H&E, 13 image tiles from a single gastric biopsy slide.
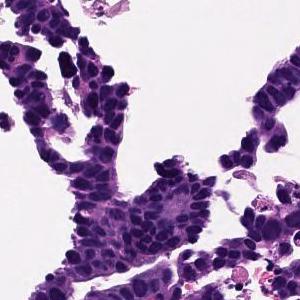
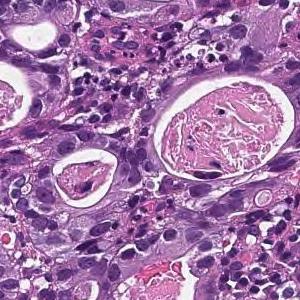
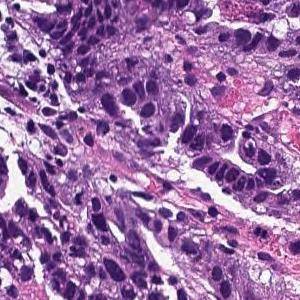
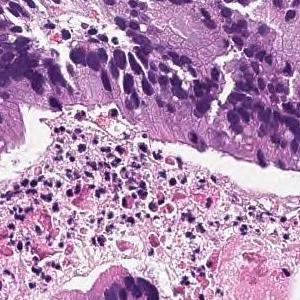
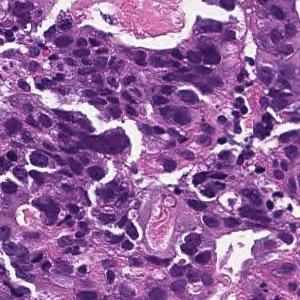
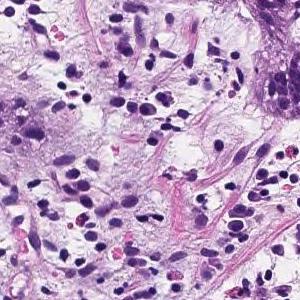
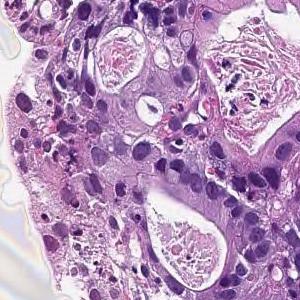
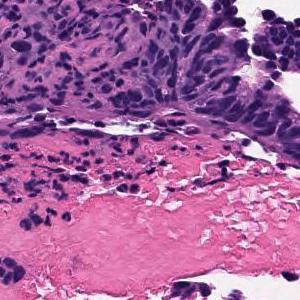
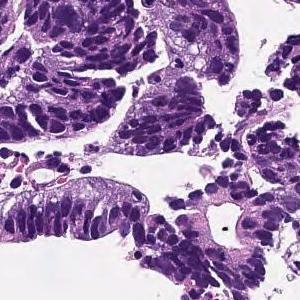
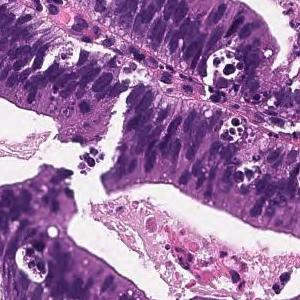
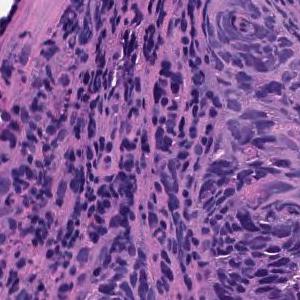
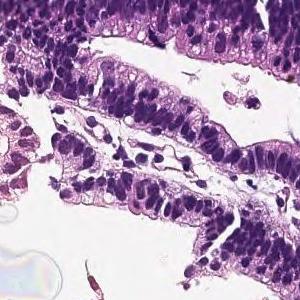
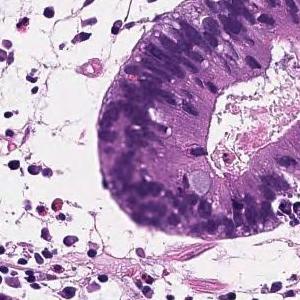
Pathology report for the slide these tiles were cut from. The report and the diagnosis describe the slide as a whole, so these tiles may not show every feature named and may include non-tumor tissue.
In the superficial epithelium, tumor tissue that invades by forming medium-sized to small, irregular ducts is observed. moderately differentiated tubular adenocarcinoma.
